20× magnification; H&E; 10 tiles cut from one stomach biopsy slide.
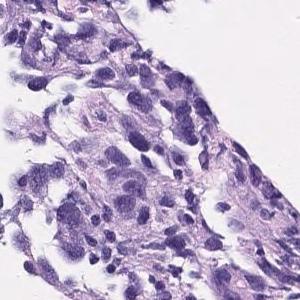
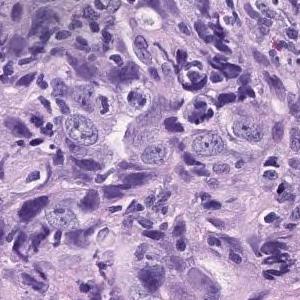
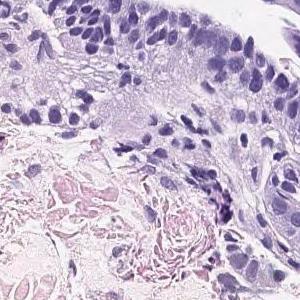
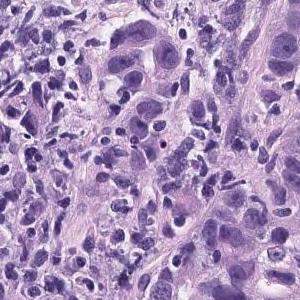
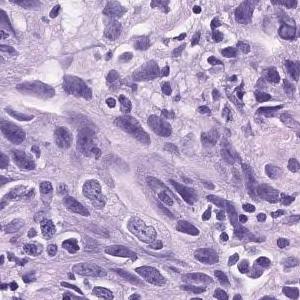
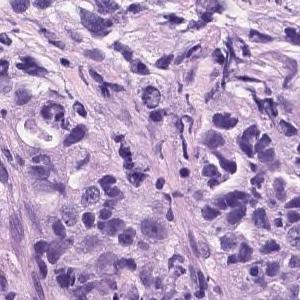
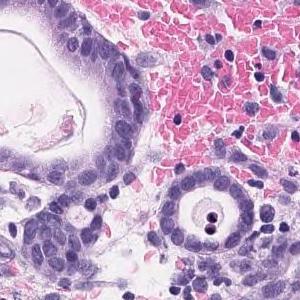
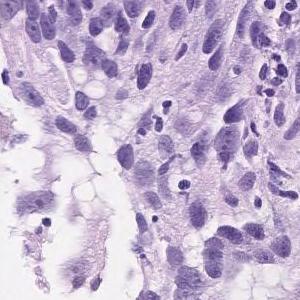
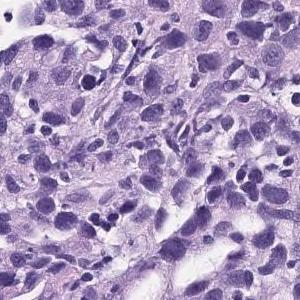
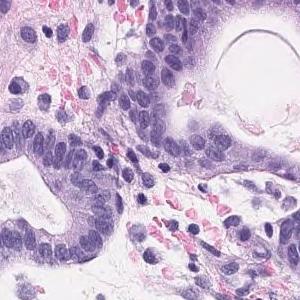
Report on the slide these tiles come from. Both the report and the diagnosis are for the whole slide: these tiles need not show every feature named, and some of the tissue shown may not be tumor.
The superficial epithelium shows a large sheet-like shape, and some tumor tissue infiltrates with small irregular ducts. Poorly differentiated adenocarcinoma, solid-type
Classified as poorly differentiated adenocarcinoma, solid type. This name comes from the Japanese Classification of Gastric Carcinoma; the WHO 2019 classification calls it tubular adenocarcinoma, poorly differentiated.
